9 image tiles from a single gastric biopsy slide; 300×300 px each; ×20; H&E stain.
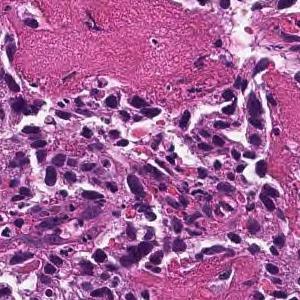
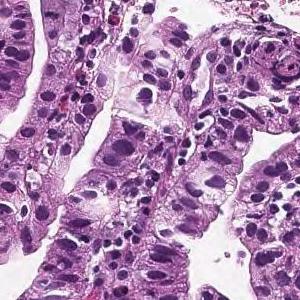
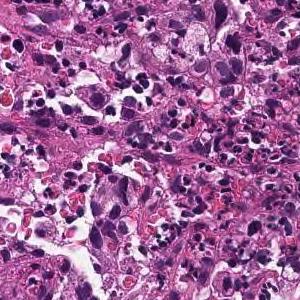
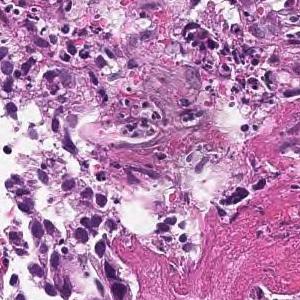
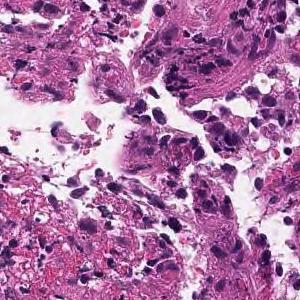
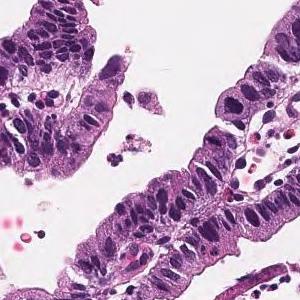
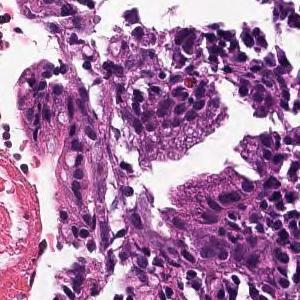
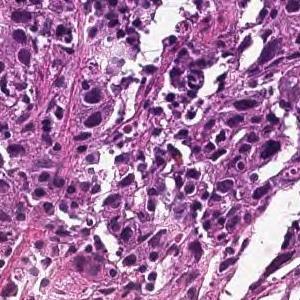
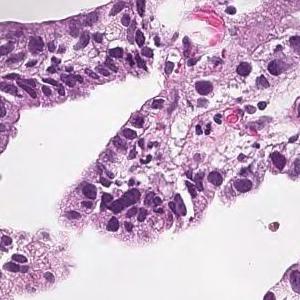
Pathology report for the slide these tiles were cut from. What the report and the diagnosis say applies to the whole slide; these tiles may miss some of the features named and may include tissue that is not tumor.
Tumor tissue consisting of medium-sized, cord-like or irregular glandular infiltration is observed in the superficial epithelium. Poorly differentiated adenocarcinoma, non-solid type or moderately differentiated tubular adenocarcinoma
Tumor subtype: moderately to poorly differentiated adenocarcinoma.
The term "non-solid type" comes from the Japanese Classification of Gastric Carcinoma.
